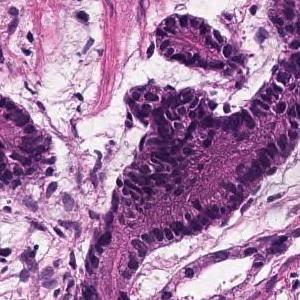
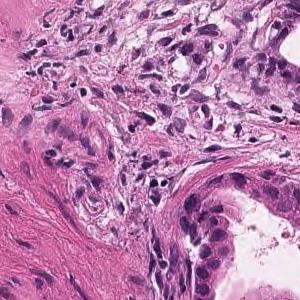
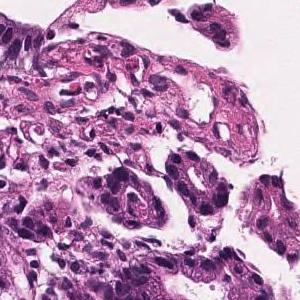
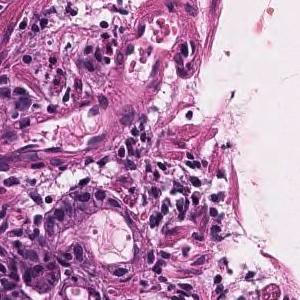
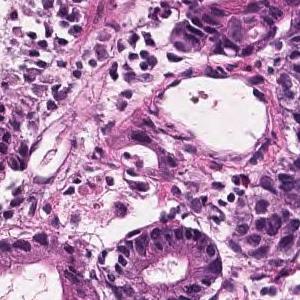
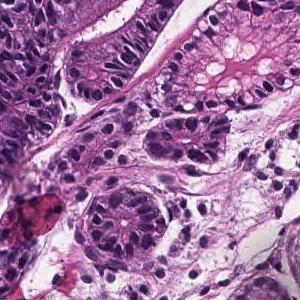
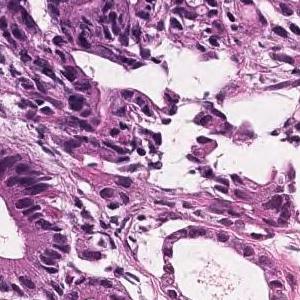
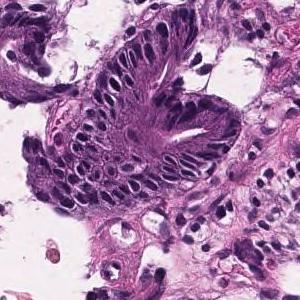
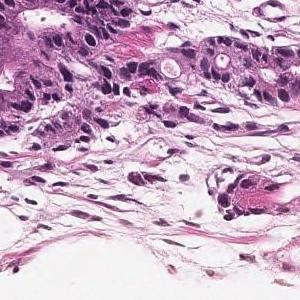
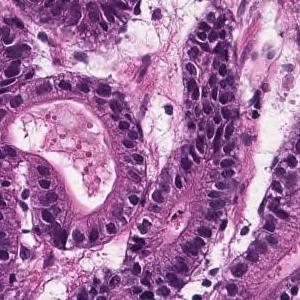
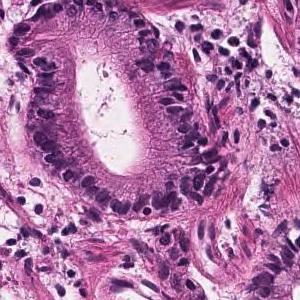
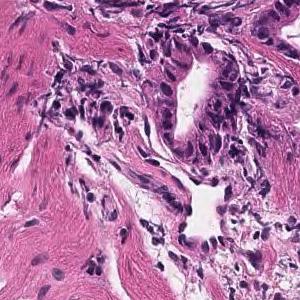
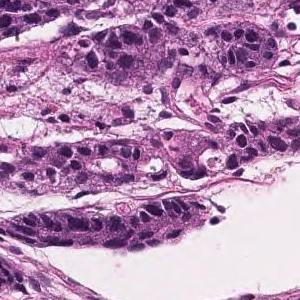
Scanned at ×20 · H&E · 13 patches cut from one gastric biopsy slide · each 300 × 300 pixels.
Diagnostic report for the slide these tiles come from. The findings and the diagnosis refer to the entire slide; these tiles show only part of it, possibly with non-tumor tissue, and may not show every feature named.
Tumor tissue with atypical epithelium showing irregular ductal or sieving ductal structure and proliferating is observed. Well to moderately differentiated tubular adenocarcinoma (well differentiated tubular adenocarcinoma-moderately differentiated tubular adenocarcinoma)
Classified as well to moderately differentiated tubular adenocarcinoma.
